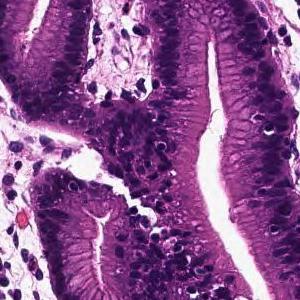
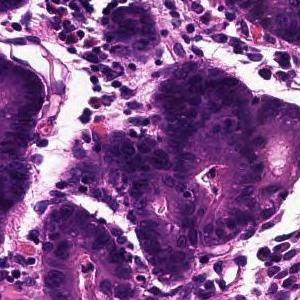
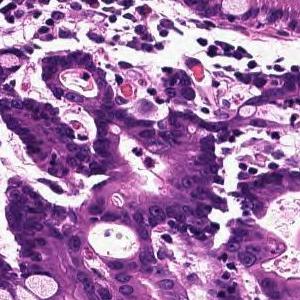
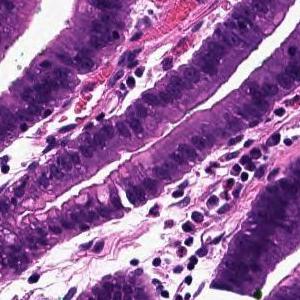
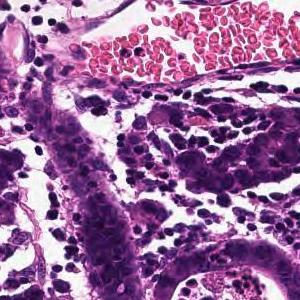
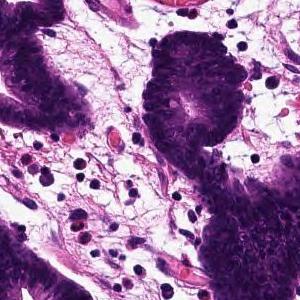
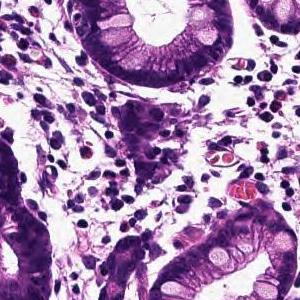
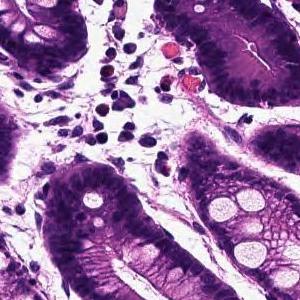
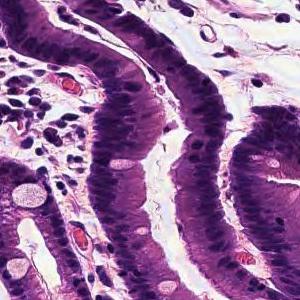
9 image tiles from a single gastric biopsy slide; 300×300 px each; ×20; H&E.
Report on the slide these tiles come from. Both the report and the diagnosis are for the whole slide: these tiles need not show every feature named, and some of the tissue shown may not be tumor.
Tumor tissue that infiltrates by forming large papillary or large irregular glandular ducts is observed confined to the mucosa. Papillary adenocarcinoma
